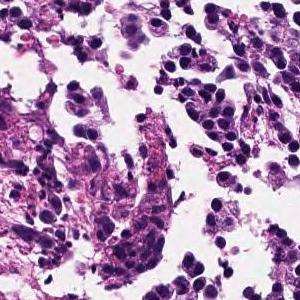
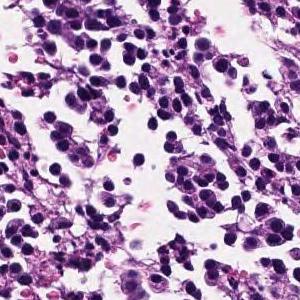
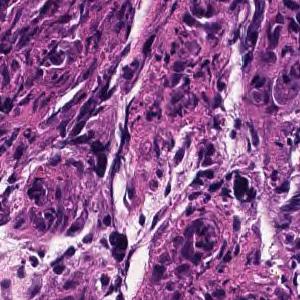
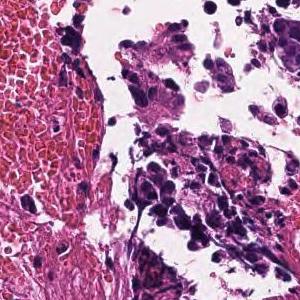
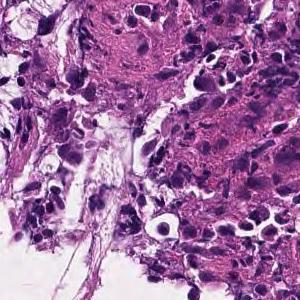
H&E; 5 patches cut from one gastric biopsy slide; 300×300 px each.
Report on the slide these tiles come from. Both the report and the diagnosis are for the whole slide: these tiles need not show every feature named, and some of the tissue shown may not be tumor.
The superficial epithelium shows a large sheet-like shape, and some tumor tissue infiltrates with small irregular ducts. Poorly differentiated adenocarcinoma, solid-type
Subtype: Poorly differentiated adenocarcinoma, solid type, a category of the Japanese Classification of Gastric Carcinoma; in the WHO 2019 classification it is tubular adenocarcinoma, poorly differentiated.
